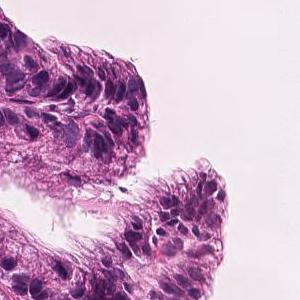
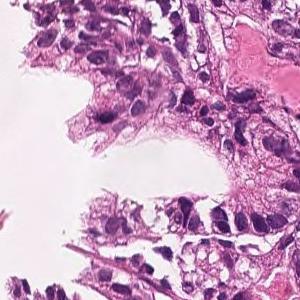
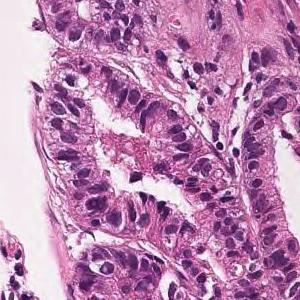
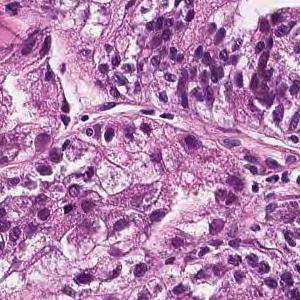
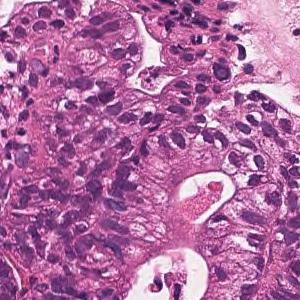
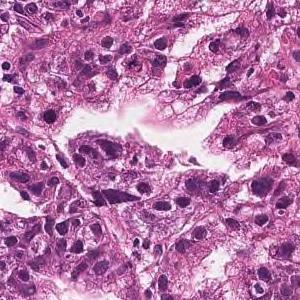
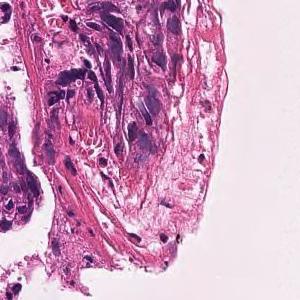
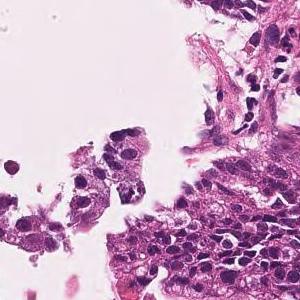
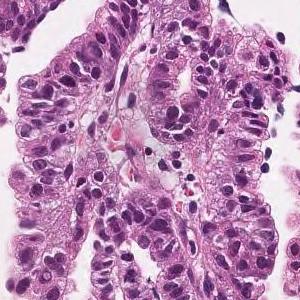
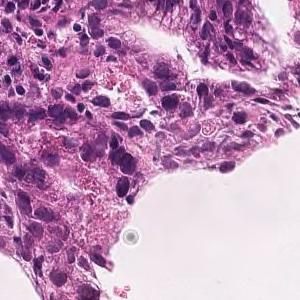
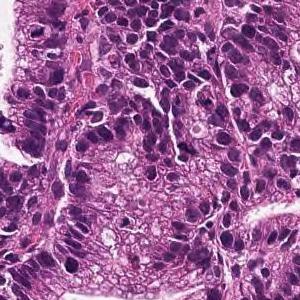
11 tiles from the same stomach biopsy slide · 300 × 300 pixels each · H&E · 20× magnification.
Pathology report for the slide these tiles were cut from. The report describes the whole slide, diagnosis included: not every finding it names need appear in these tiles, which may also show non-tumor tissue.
On the superficial epithelium, tumor tissue consisting of large, irregular glandular ducts partially fused and infiltrated is observed. Well to moderately differentiated tubular adenocarcinoma (well differentiated tubular adenocarcinoma, moderately differentiated tubular adenocarcinoma)
Classified as well to moderately differentiated tubular adenocarcinoma.
